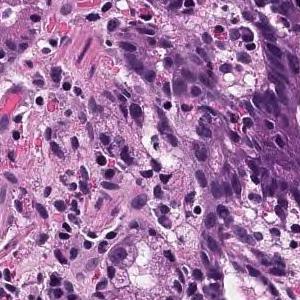
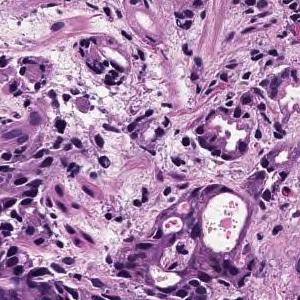
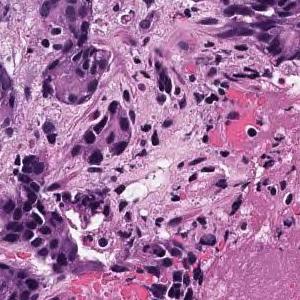
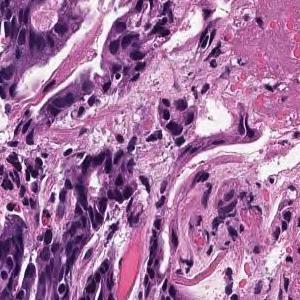
4 tiles from the same stomach biopsy slide; ×20; H&E stain.
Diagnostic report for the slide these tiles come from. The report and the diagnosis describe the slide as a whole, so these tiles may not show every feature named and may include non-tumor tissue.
On the superficial epithelium, tumor tissue is found in which medium-sized irregular gland ducts fuse with each other and infiltrate. moderately differentiated tubular adenocarcinoma
